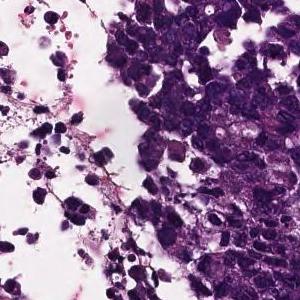
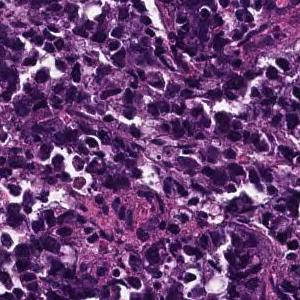
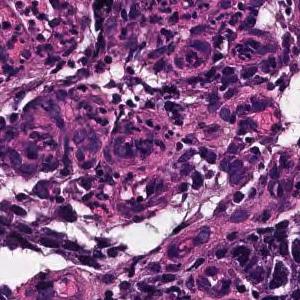
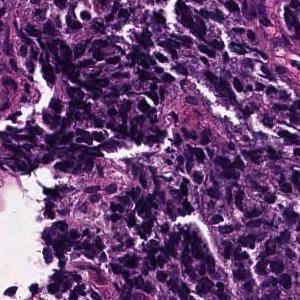
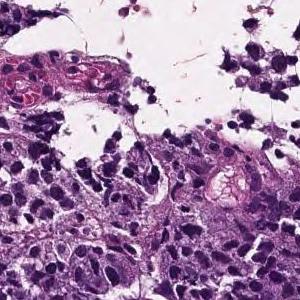
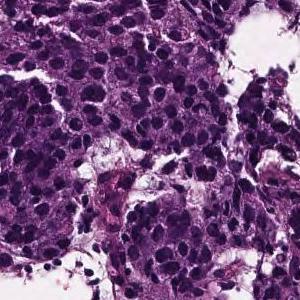
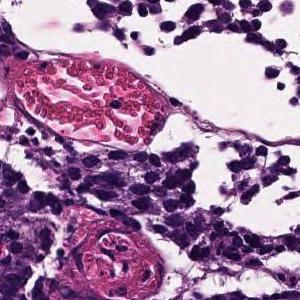
7 image tiles from a single gastric biopsy slide; 300×300 px each; H&E stain.
Diagnostic report for the slide these tiles come from. The report and the diagnosis describe the slide as a whole, so these tiles may not show every feature named and may include non-tumor tissue.
The superficial epithelium shows a large sheet-like shape, and some tumor tissue infiltrates with small irregular ducts. Poorly differentiated adenocarcinoma, solid-type
Classified as poorly differentiated adenocarcinoma, solid type. This name comes from the Japanese Classification of Gastric Carcinoma; the WHO 2019 classification calls it tubular adenocarcinoma, poorly differentiated.
